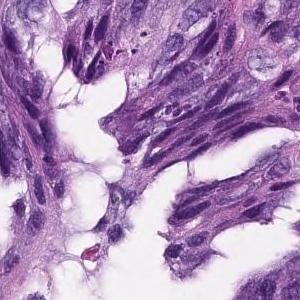
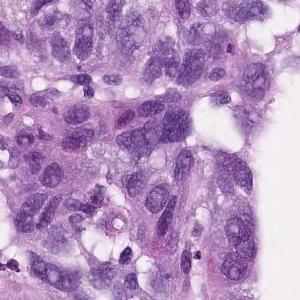
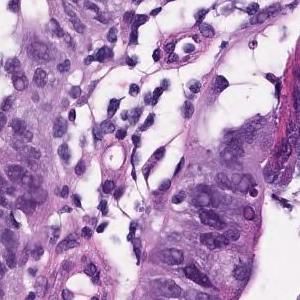
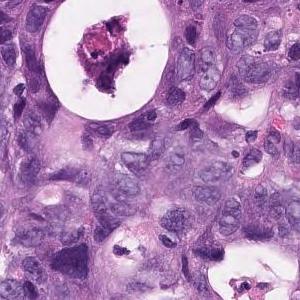
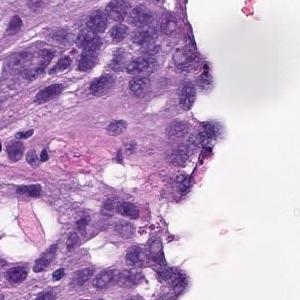
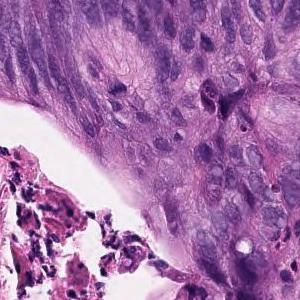
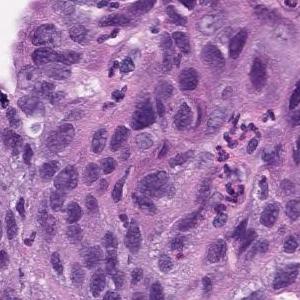
20× magnification, H&E stain, 7 image tiles from a single gastric biopsy slide, 300 × 300 pixels each.
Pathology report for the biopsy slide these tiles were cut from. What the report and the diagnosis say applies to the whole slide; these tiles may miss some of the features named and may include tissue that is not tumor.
In the superficial epithelium, tumor tissue that invades by forming medium-sized to small, irregular ducts is observed. Moderately differentiated adenocarcinoma.
Subtype: Moderately differentiated tubular adenocarcinoma.
